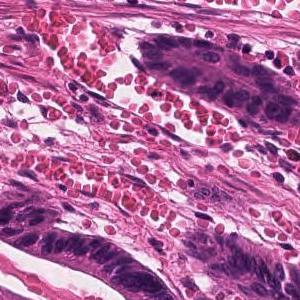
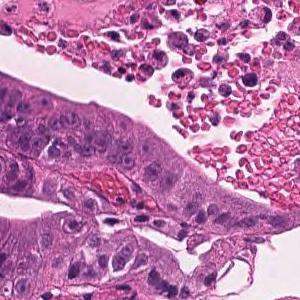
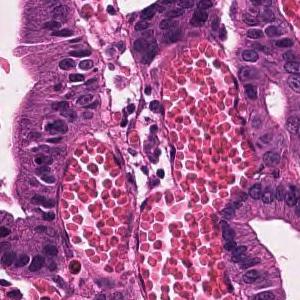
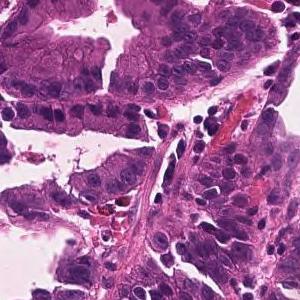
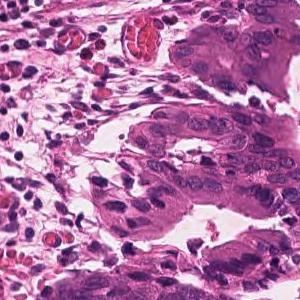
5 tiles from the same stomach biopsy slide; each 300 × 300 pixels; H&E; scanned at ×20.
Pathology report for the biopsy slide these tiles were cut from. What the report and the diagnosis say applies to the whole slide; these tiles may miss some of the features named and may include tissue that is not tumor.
Infiltrating tumor tissue with medium-sized, irregular ductal structure or large papillary appearance is observed. Well differentiated tubular adenocarcinoma
